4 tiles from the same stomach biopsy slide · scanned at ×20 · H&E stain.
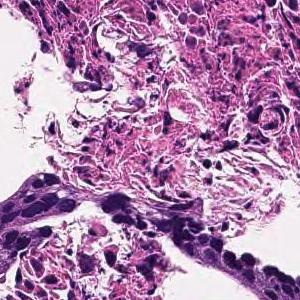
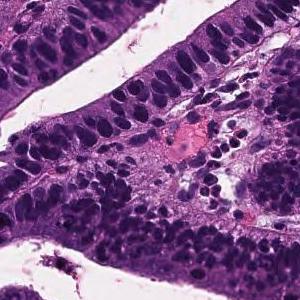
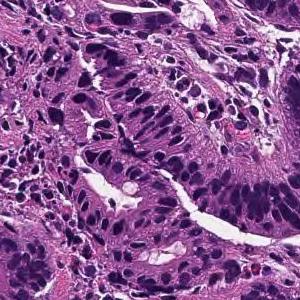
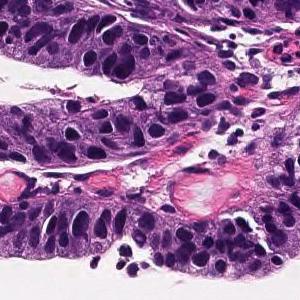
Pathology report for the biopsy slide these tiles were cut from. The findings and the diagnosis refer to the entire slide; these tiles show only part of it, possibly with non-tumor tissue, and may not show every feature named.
Tumor tissue consisting of large papillary structures is found in the superficial epithelium. Papillary adenocarcinoma.
